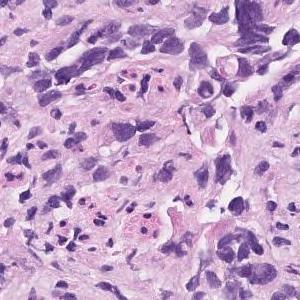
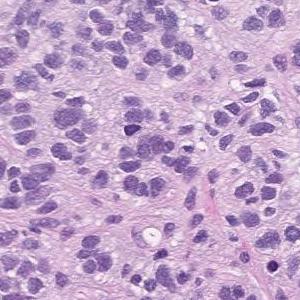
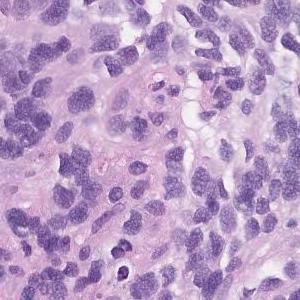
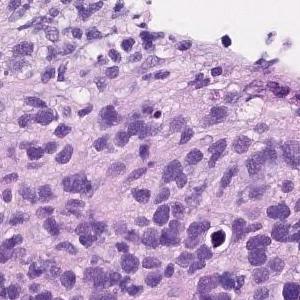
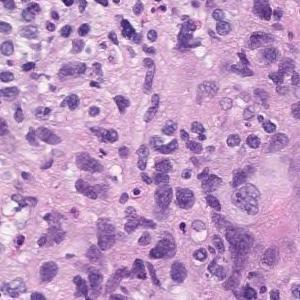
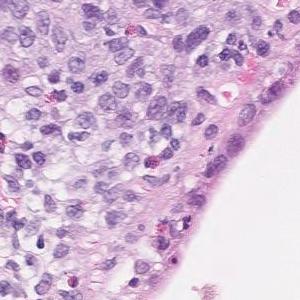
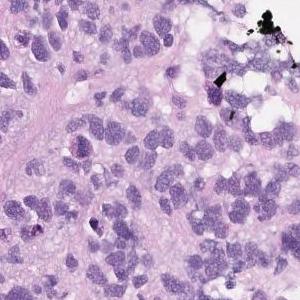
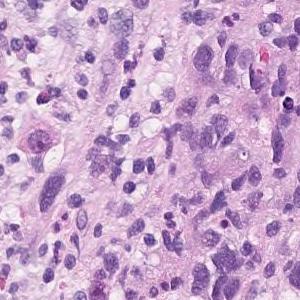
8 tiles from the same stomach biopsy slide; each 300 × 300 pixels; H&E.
Diagnostic report for the slide these tiles come from. Both the report and the diagnosis are for the whole slide: these tiles need not show every feature named, and some of the tissue shown may not be tumor.
Atypical l cells with atypical nuclei under the mucosa growing in isolation and scattered. Poorly differentiated adenocarcinoma (poorly differentiated adenocarcinoma, non-solid type)
Tumor subtype: poorly differentiated adenocarcinoma, non-solid type.
"Non-solid type" is a category of the Japanese Classification of Gastric Carcinoma.
